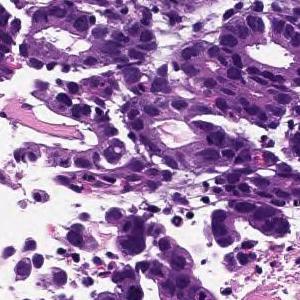
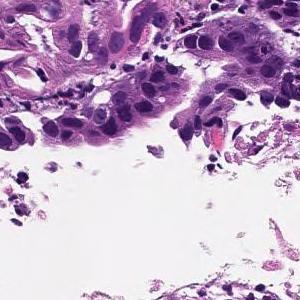
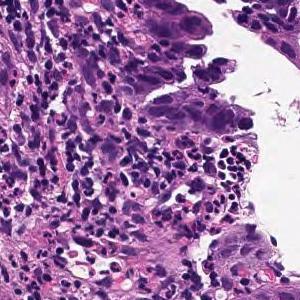
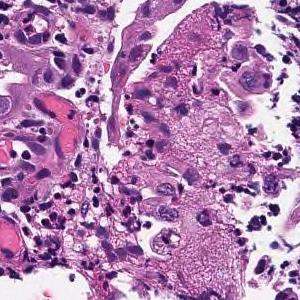
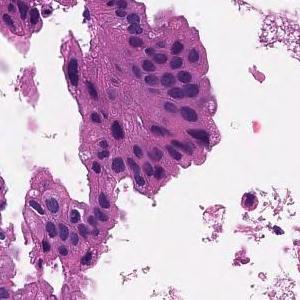
×20 · H&E stain · 5 patches cut from one gastric biopsy slide · 300 × 300 pixels each.
The pathologist's report on the biopsy slide these tiles were taken from. Both the report and the diagnosis are for the whole slide: these tiles need not show every feature named, and some of the tissue shown may not be tumor.
In the superficial epithelium, tumor tissue that invades by forming medium-sized to small, irregular ducts is observed. moderately differentiated tubular adenocarcinoma.
